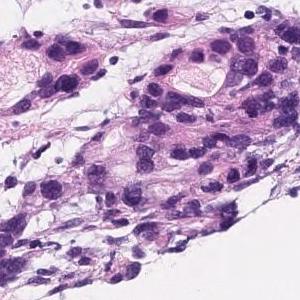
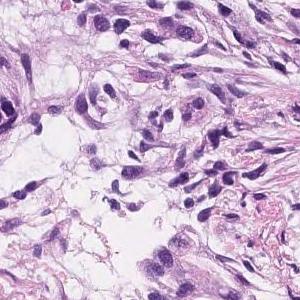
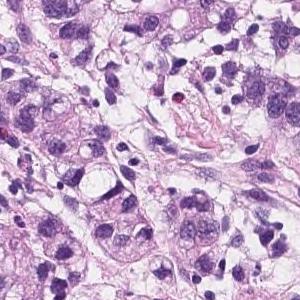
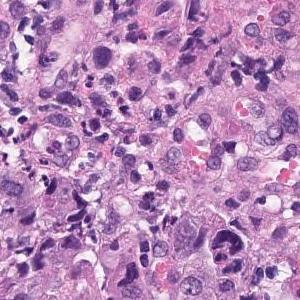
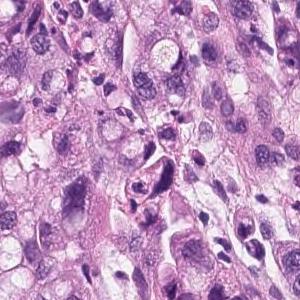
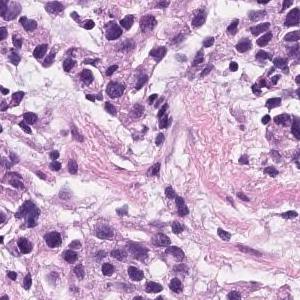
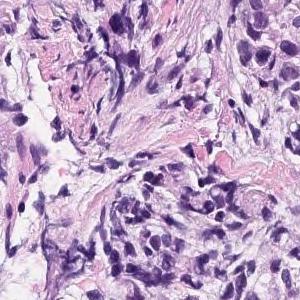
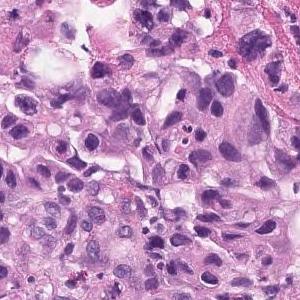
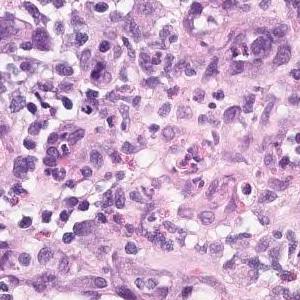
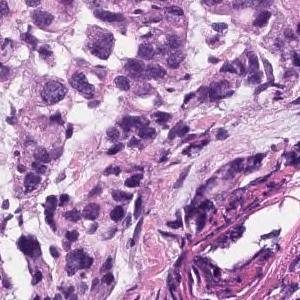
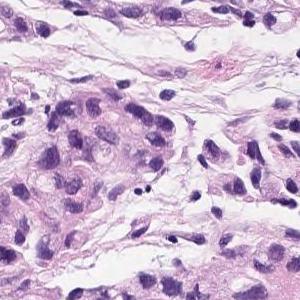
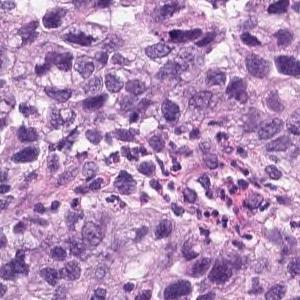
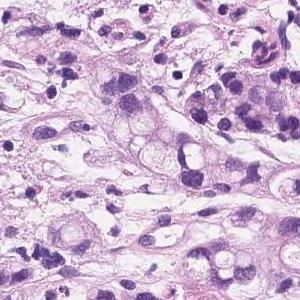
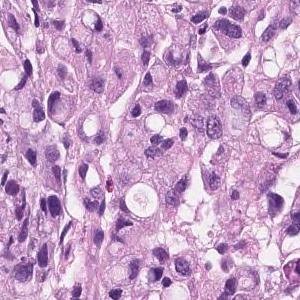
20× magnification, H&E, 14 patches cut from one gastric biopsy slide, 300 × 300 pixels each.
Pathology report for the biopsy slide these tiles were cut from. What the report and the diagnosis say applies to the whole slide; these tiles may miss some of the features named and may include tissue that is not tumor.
Group 5, Adenocarcinoma. Poorly differentiated adenocarcinoma, non-solid type
"Non-solid type" is a category of the Japanese Classification of Gastric Carcinoma.
